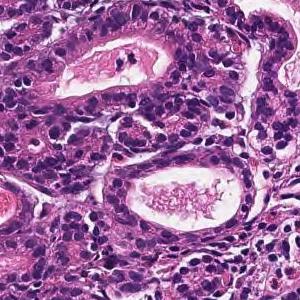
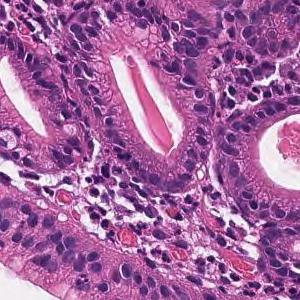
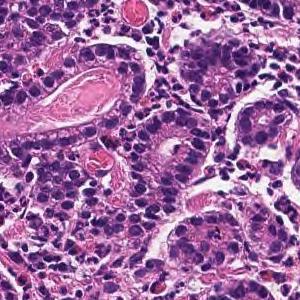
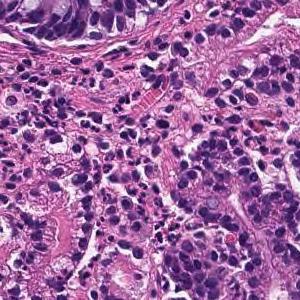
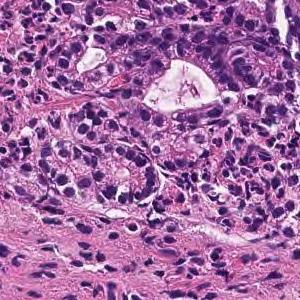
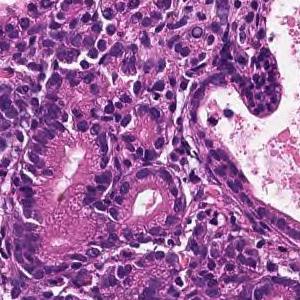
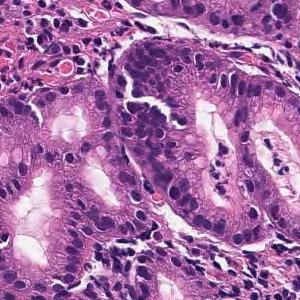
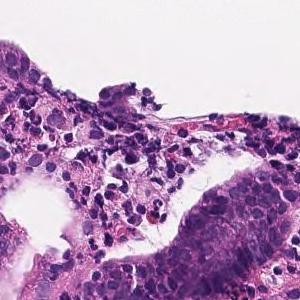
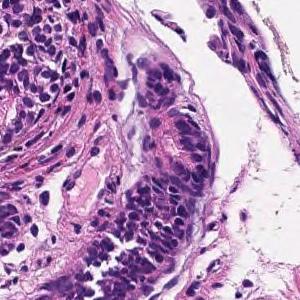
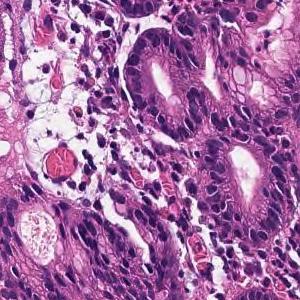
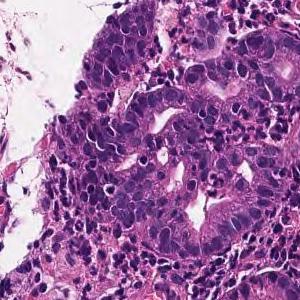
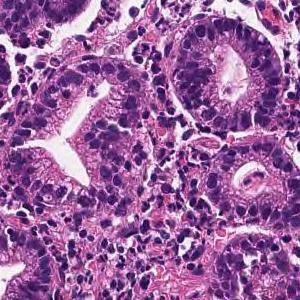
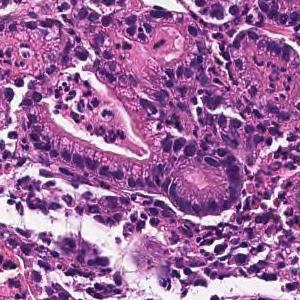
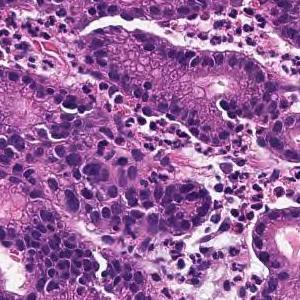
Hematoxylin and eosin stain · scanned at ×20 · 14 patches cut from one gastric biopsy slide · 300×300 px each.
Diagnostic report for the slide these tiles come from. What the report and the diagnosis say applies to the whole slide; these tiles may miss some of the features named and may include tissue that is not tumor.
Tumor tissue infiltrated and proliferated with small to medium-sized irregular tubules is observed in the superficial epithelium. Well differentiated tubular adenocarcinoma
